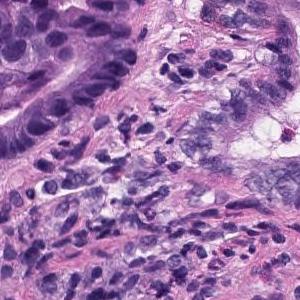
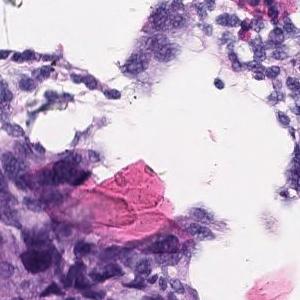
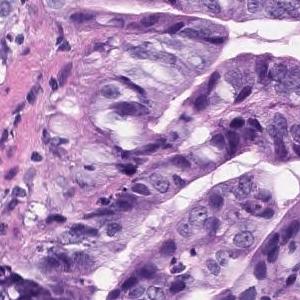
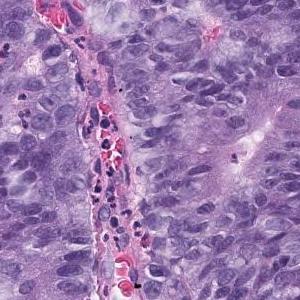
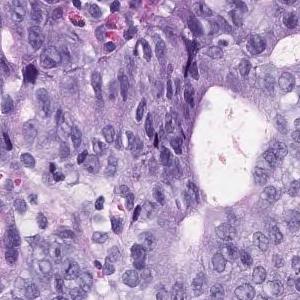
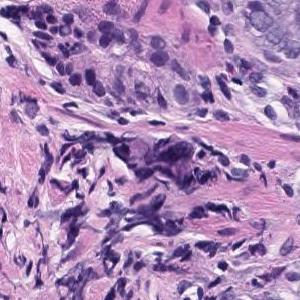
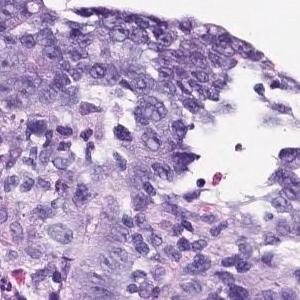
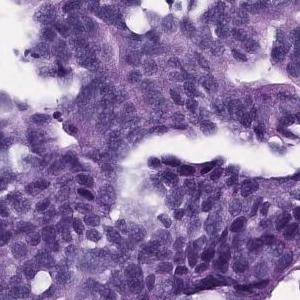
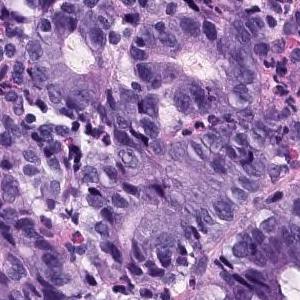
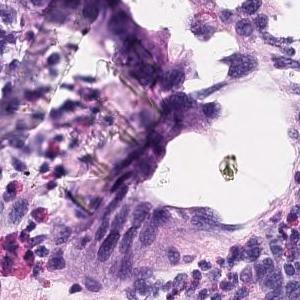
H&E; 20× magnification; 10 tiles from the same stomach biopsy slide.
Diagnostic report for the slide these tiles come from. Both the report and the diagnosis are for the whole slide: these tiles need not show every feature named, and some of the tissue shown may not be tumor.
In the superficial epithelium, tumor tissue that invades by forming medium-sized to small, irregular ducts is observed. Well to moderately differentiated tubular adenocarcinoma.
